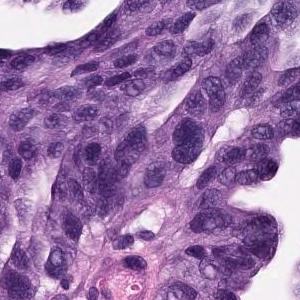
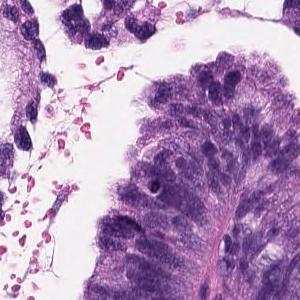
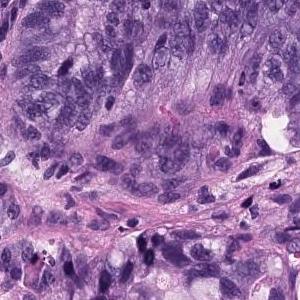
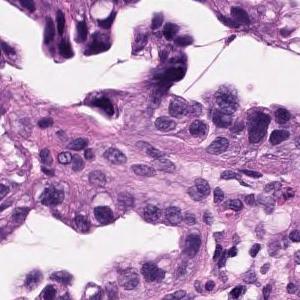
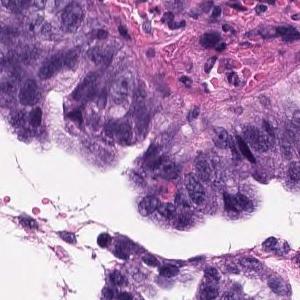
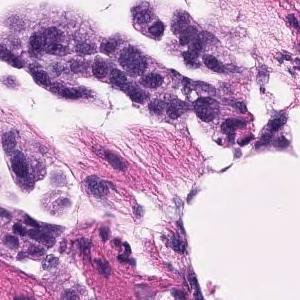
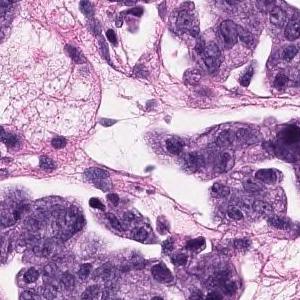
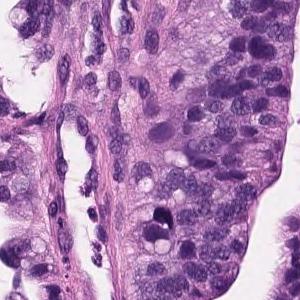
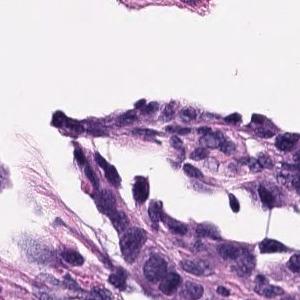
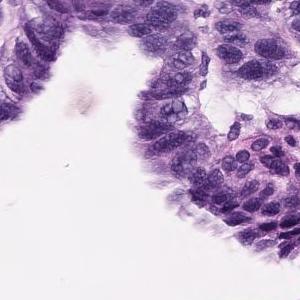
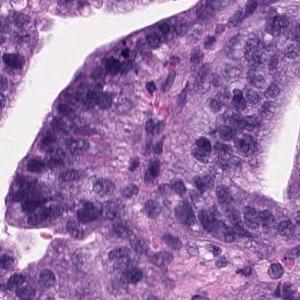
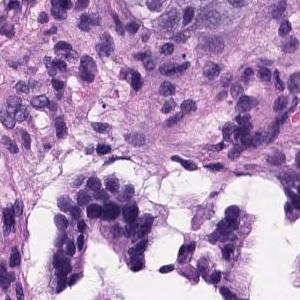
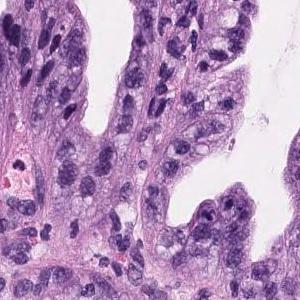
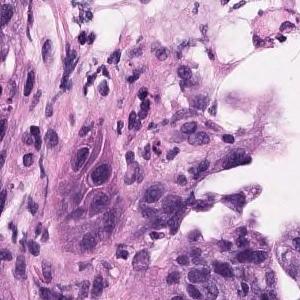
14 tiles from the same stomach biopsy slide; each 300 × 300 pixels; H&E stain; ×20.
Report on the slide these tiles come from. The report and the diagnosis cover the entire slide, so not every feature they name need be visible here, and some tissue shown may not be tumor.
Tumor cells are large, highly columnar, large club-shaped nuclei, and are associated with chromatin aggregation. Papillary adenocarcinoma.
